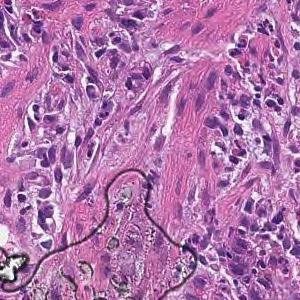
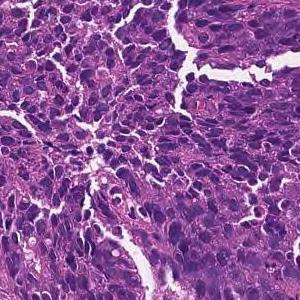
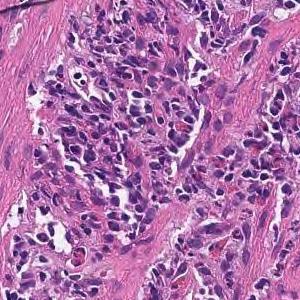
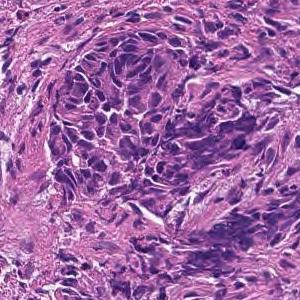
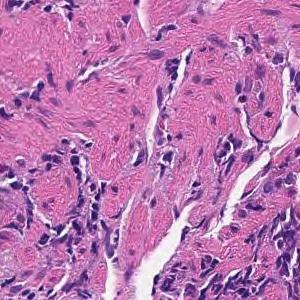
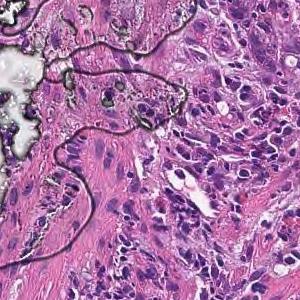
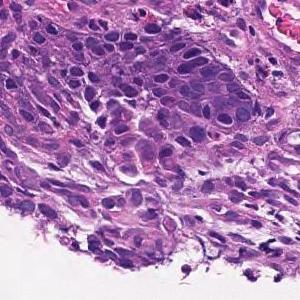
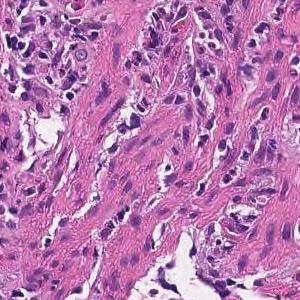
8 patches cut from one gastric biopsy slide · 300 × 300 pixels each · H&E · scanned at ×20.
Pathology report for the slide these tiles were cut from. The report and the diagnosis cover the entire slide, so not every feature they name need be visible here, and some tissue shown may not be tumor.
Tumor tissue consisting of cord-like or small, irregular glandular ducts fused and infiltrated is observed in the superficial epithelium. Poorly differentiated adenocarcinoma, non-solid type
The term "non-solid type" comes from the Japanese Classification of Gastric Carcinoma.
